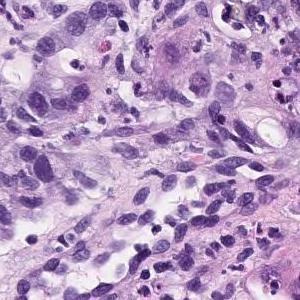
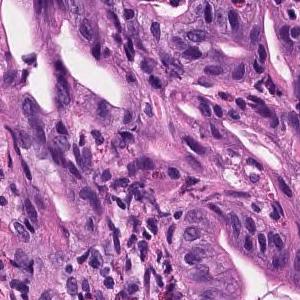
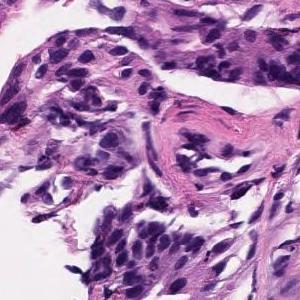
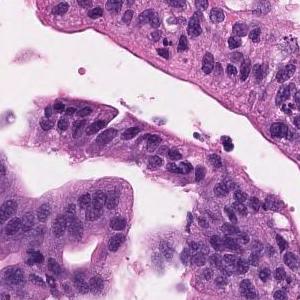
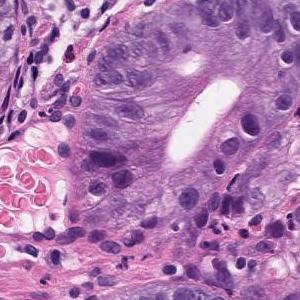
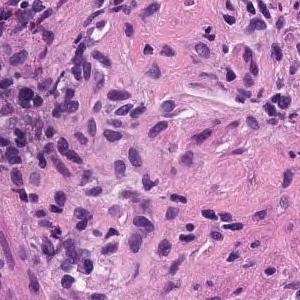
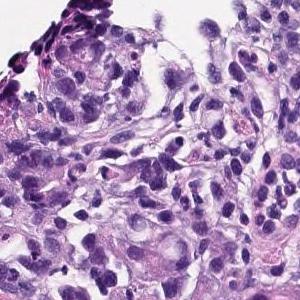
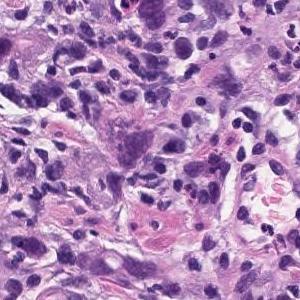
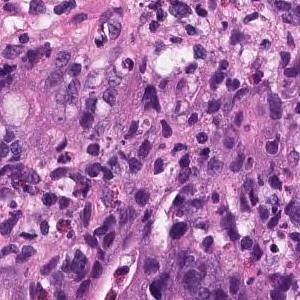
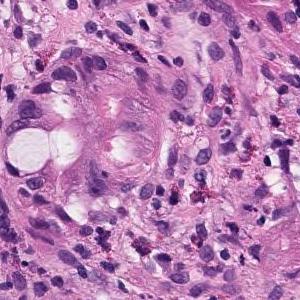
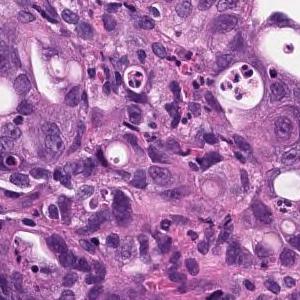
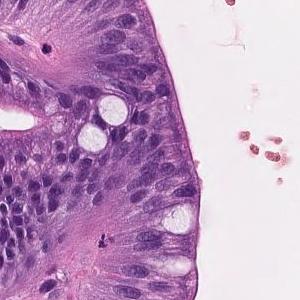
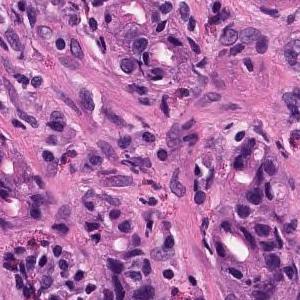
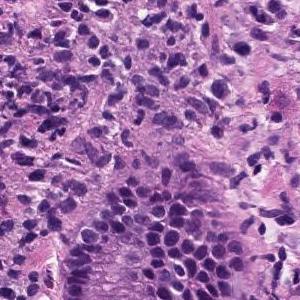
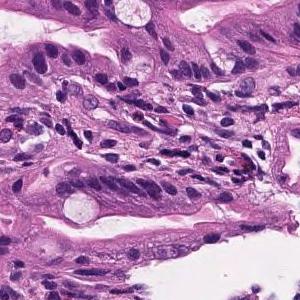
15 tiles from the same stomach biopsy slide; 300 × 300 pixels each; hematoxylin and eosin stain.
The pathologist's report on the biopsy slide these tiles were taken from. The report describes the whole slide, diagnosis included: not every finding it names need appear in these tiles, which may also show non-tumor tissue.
moderately differentiated tubular adenocarcinoma, Poorly differentiated adenocarcinoma
The dataset labels this slide poorly differentiated adenocarcinoma, solid type. This name comes from the Japanese Classification of Gastric Carcinoma; the WHO 2019 classification calls it tubular adenocarcinoma, poorly differentiated.
